13 tiles cut from one stomach biopsy slide; ×20.
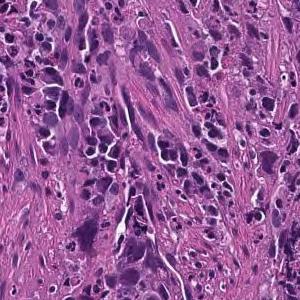
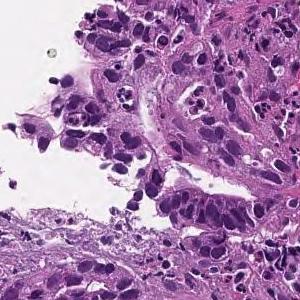
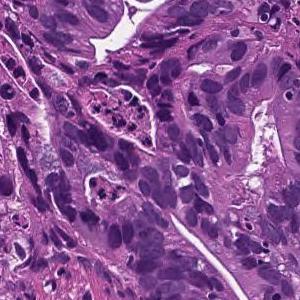
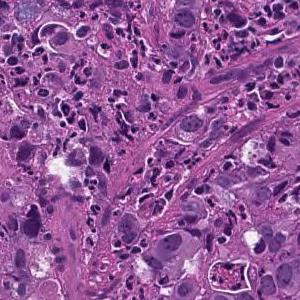
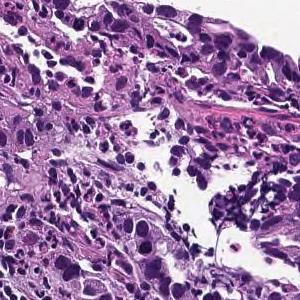
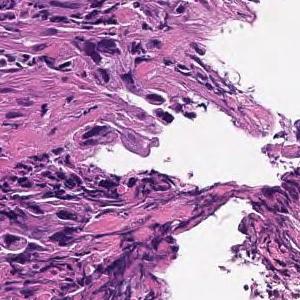
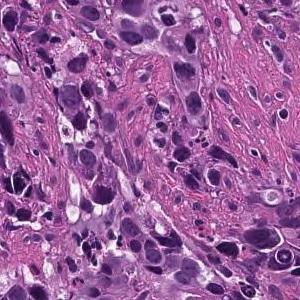
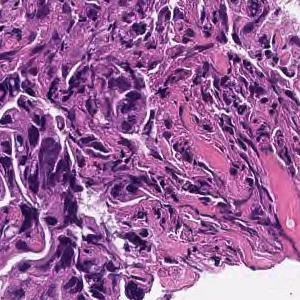
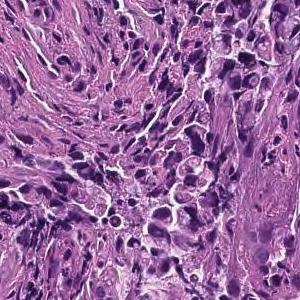
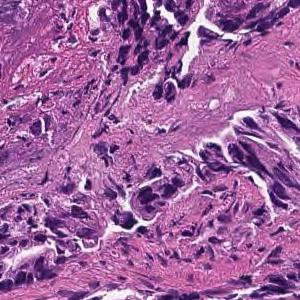
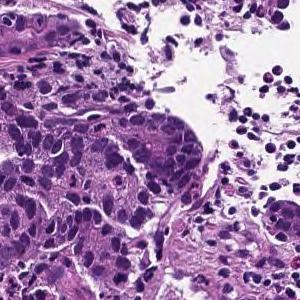
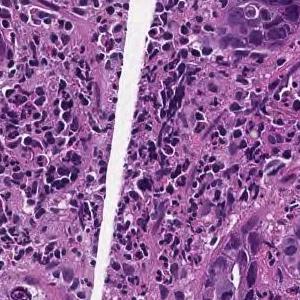
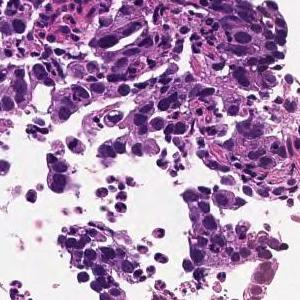
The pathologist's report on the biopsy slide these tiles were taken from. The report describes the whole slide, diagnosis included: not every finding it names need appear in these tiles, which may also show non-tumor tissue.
Tumor tissue consisting of medium-sized, cord-like or irregular glandular infiltration is observed in the superficial epithelium. Poorly differentiated adenocarcinoma, non-solid type or moderately differentiated tubular adenocarcinoma
Subtype: Moderately to poorly differentiated adenocarcinoma.
The non-solid type named here is a Japanese Classification of Gastric Carcinoma category.
